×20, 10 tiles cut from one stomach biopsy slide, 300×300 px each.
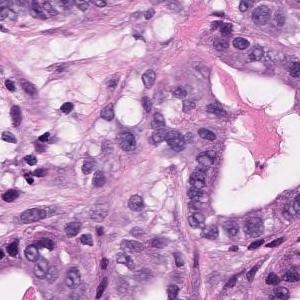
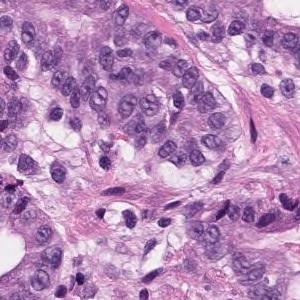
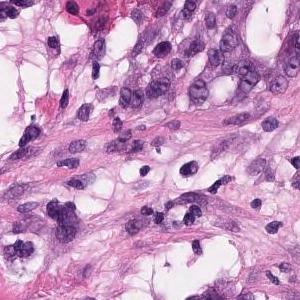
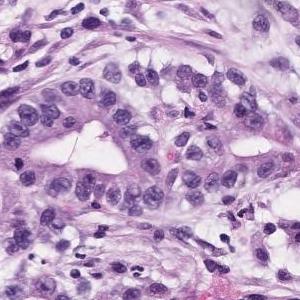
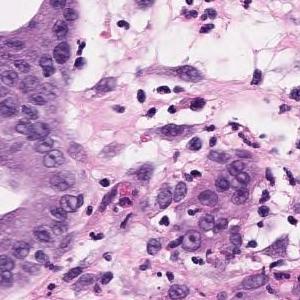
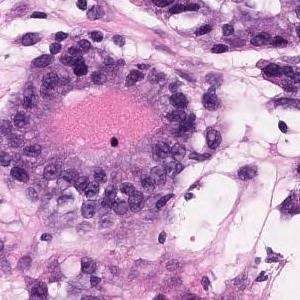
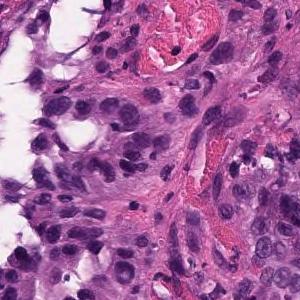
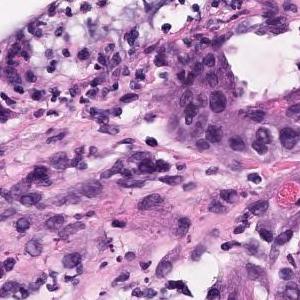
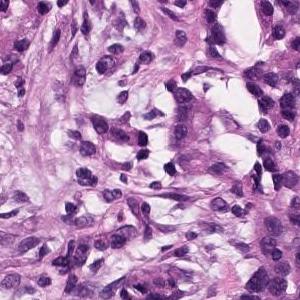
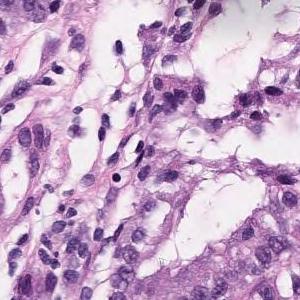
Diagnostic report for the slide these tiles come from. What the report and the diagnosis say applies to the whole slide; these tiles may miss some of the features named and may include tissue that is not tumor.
In the superficial epithelium, tumor tissue that invades by forming medium-sized to small, irregular ducts is observed. Moderately differentiated adenocarcinoma.
Subtype: Moderately differentiated tubular adenocarcinoma.
